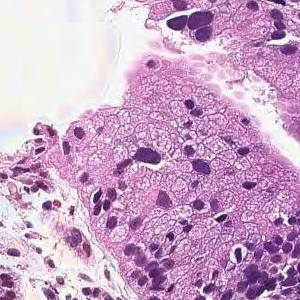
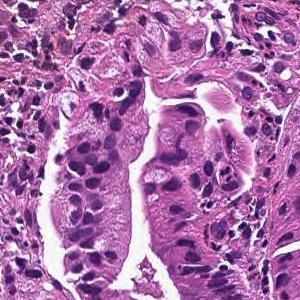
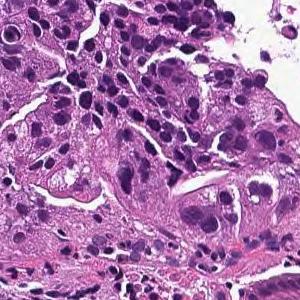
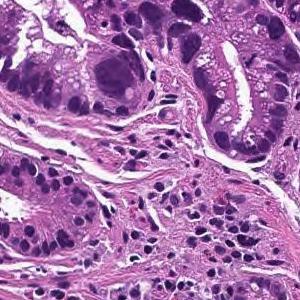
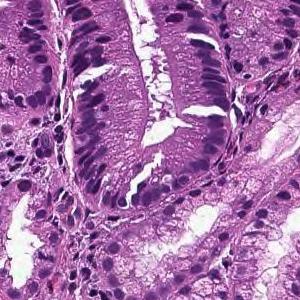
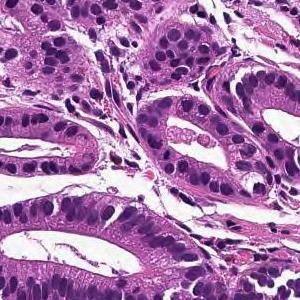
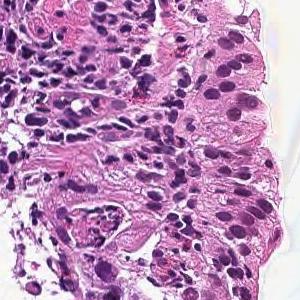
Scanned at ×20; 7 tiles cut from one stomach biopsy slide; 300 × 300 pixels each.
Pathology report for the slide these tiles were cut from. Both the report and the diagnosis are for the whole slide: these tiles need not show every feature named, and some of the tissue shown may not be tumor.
Tumor cells are large, highly columnar, large club-shaped nuclei, and are associated with chromatin aggregation. Papillary adenocarcinoma.
